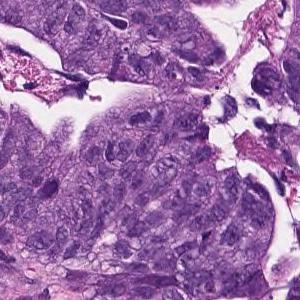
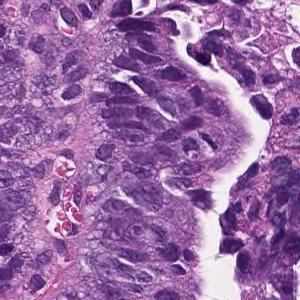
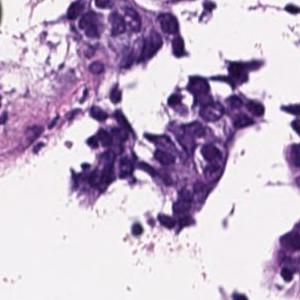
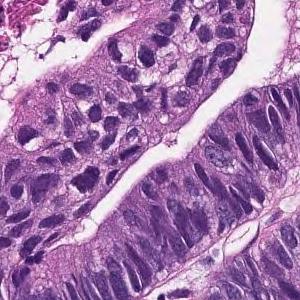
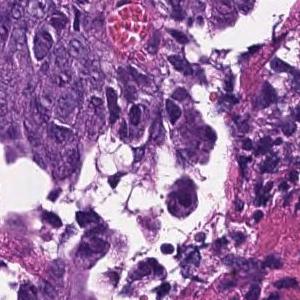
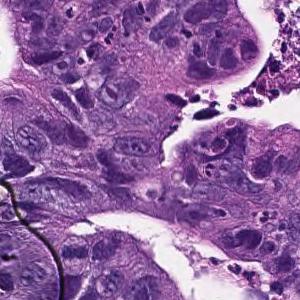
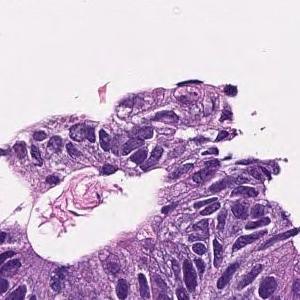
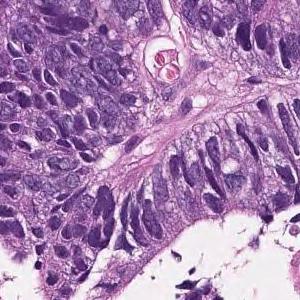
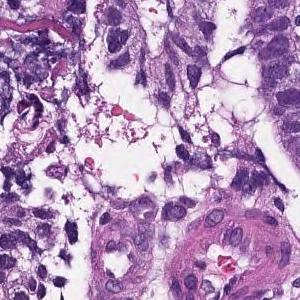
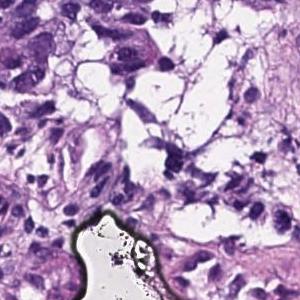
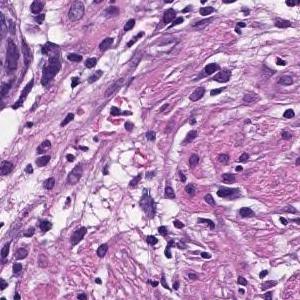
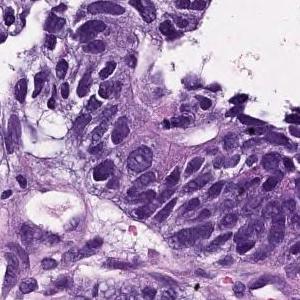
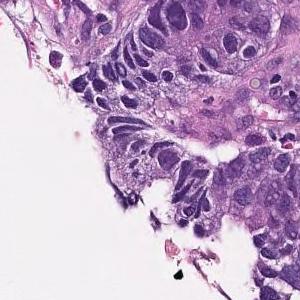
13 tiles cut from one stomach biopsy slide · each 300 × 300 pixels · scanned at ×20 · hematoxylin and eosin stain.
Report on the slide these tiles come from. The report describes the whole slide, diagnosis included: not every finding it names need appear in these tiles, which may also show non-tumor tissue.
In the superficial epithelium, tumor tissue that invades by forming medium-sized to small, irregular ducts is observed. moderately differentiated tubular adenocarcinoma.
